H&E stain · 6 image tiles from a single gastric biopsy slide · each 300 × 300 pixels.
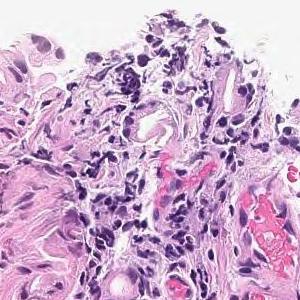
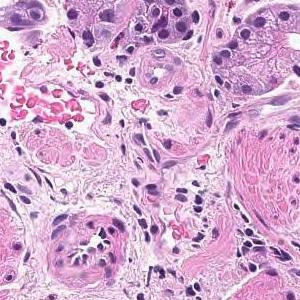
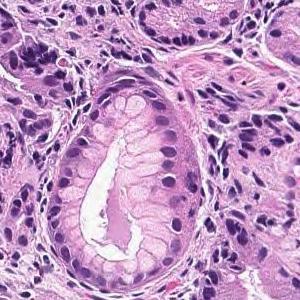
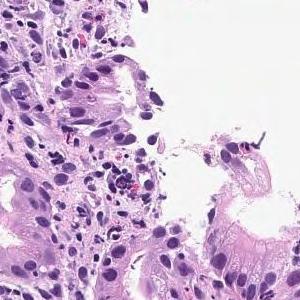
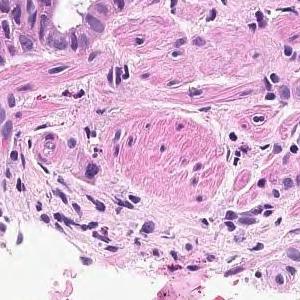
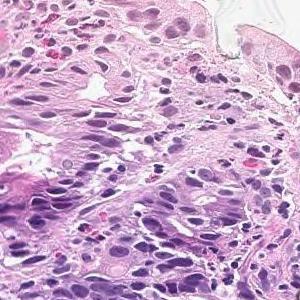
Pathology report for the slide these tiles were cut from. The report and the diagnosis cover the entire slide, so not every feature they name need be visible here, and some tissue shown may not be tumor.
In the superficial epithelium, tumor tissue that invades by forming medium-sized to small, irregular ducts is observed. moderately differentiated tubular adenocarcinoma.
